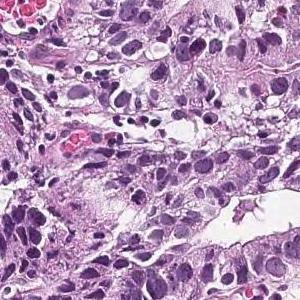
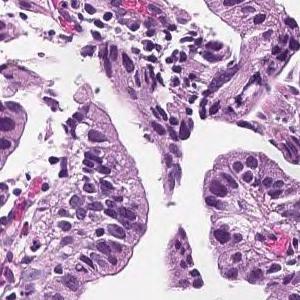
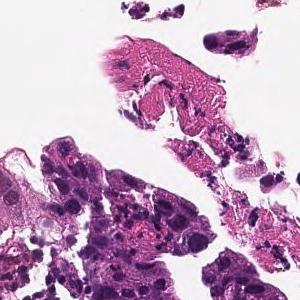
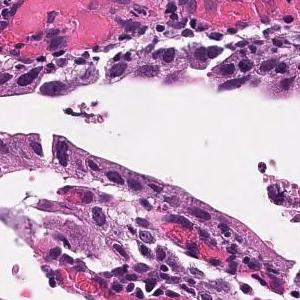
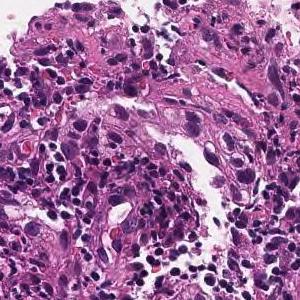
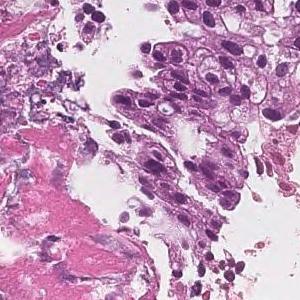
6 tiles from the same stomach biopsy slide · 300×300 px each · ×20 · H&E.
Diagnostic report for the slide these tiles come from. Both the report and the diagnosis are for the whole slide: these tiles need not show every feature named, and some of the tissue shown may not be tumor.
Tumor tissue consisting of medium-sized, cord-like or irregular glandular infiltration is observed in the superficial epithelium. Poorly differentiated adenocarcinoma, non-solid type or moderately differentiated tubular adenocarcinoma
Histologic type: Moderately to poorly differentiated adenocarcinoma.
"Non-solid type" is a category of the Japanese Classification of Gastric Carcinoma.
